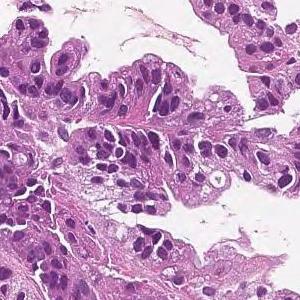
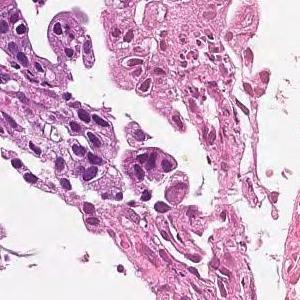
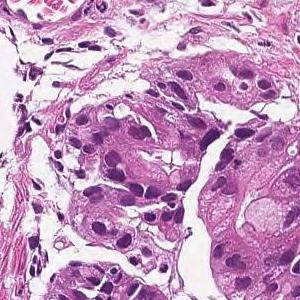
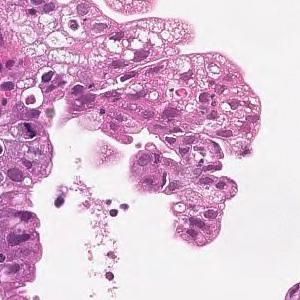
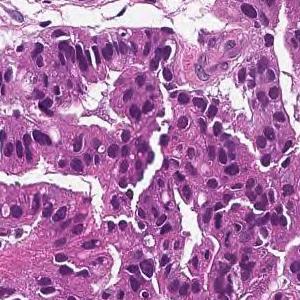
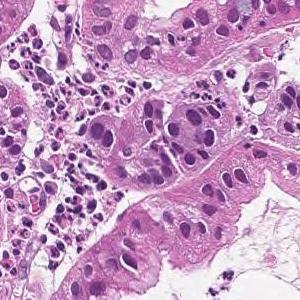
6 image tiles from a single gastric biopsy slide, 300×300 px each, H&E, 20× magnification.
The pathologist's report on the biopsy slide these tiles were taken from. The report and the diagnosis describe the slide as a whole, so these tiles may not show every feature named and may include non-tumor tissue.
On the superficial epithelium, tumor tissue that infiltrates by forming medium-sized papillary or small irregular ducts is observed. Papillary adenocarcinoma
